14 tiles from the same stomach biopsy slide; 300×300 px each.
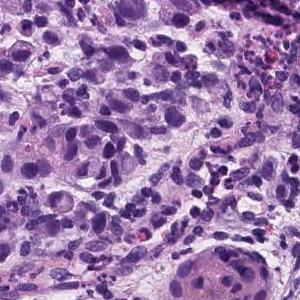
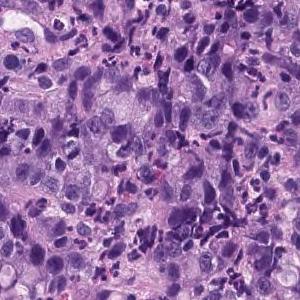
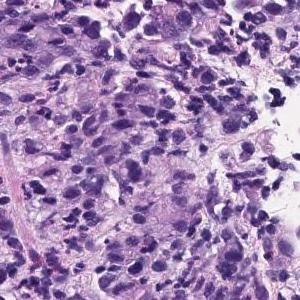
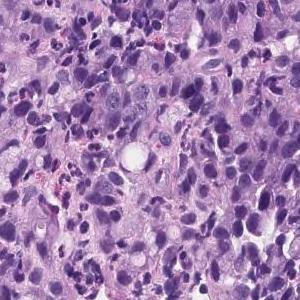
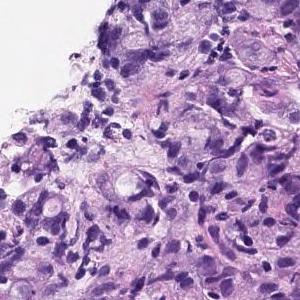
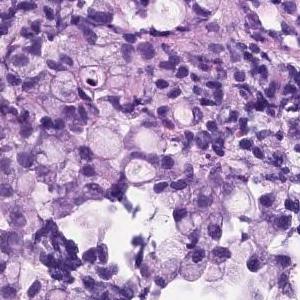
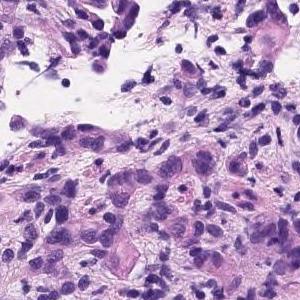
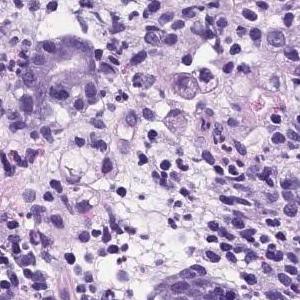
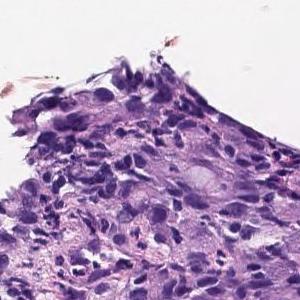
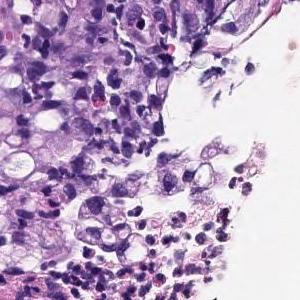
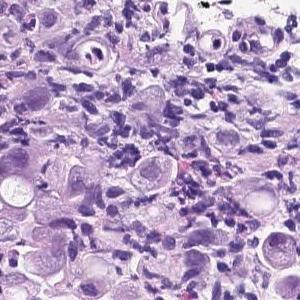
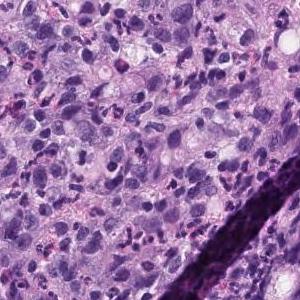
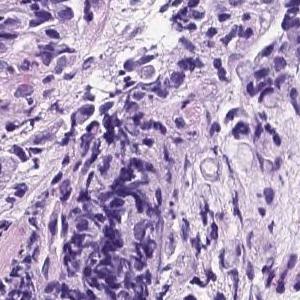
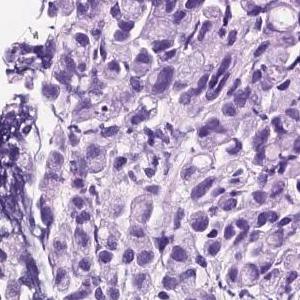
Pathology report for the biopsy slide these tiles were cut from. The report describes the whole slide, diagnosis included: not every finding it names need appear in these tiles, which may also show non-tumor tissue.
Diffusely growing signet-ring cells are found in the lamina propria. Signet ring cell carcinoma.
